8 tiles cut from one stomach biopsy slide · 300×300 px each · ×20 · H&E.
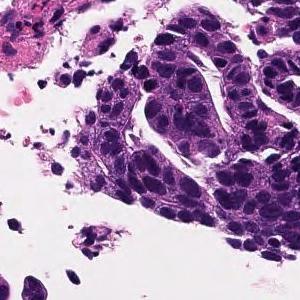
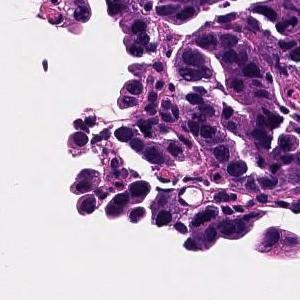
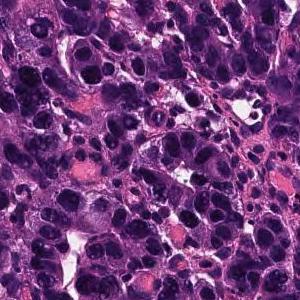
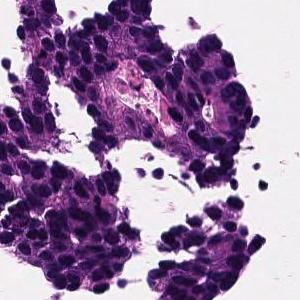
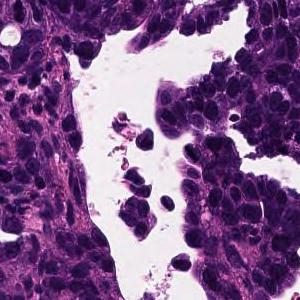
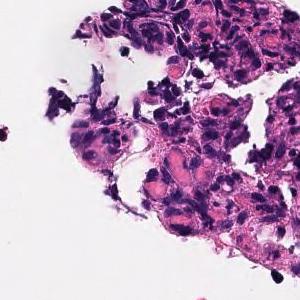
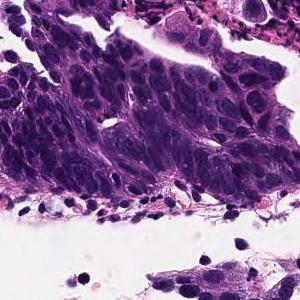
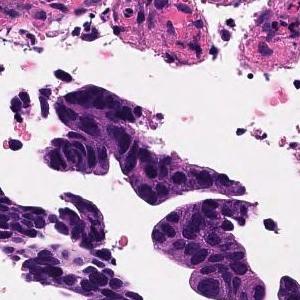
The pathologist's report on the biopsy slide these tiles were taken from. What the report and the diagnosis say applies to the whole slide; these tiles may miss some of the features named and may include tissue that is not tumor.
In the superficial epithelium, tumor tissue that invades by forming medium-sized to small, irregular ducts is observed. moderately differentiated tubular adenocarcinoma.
